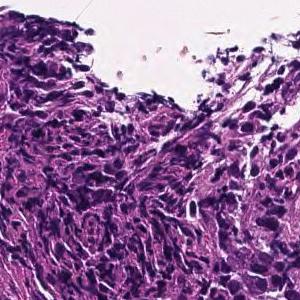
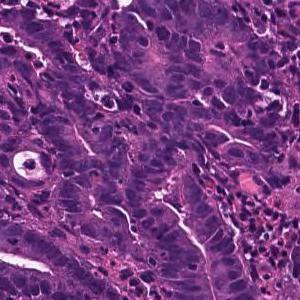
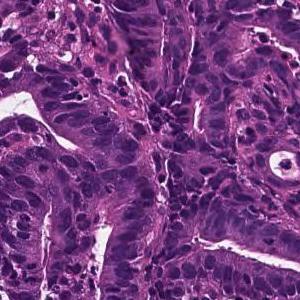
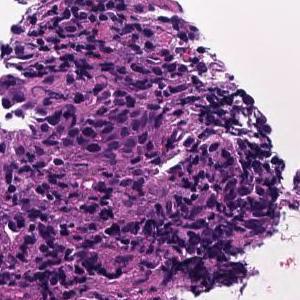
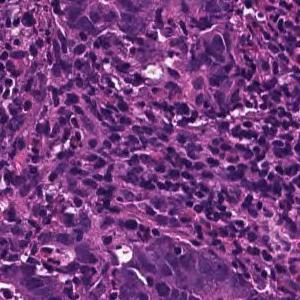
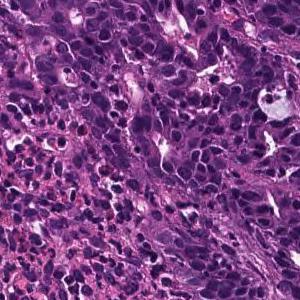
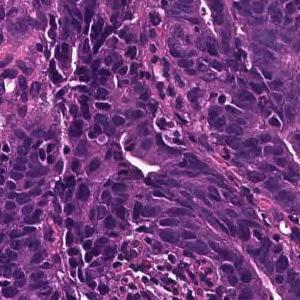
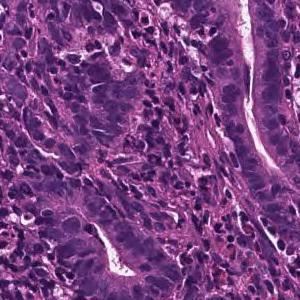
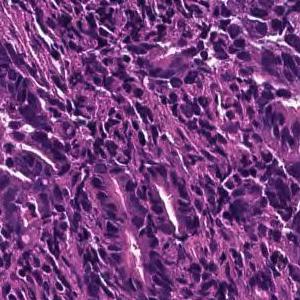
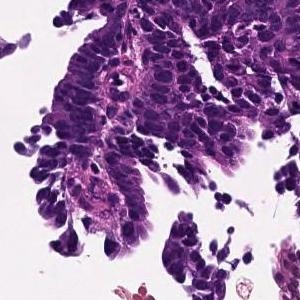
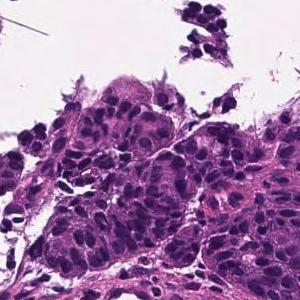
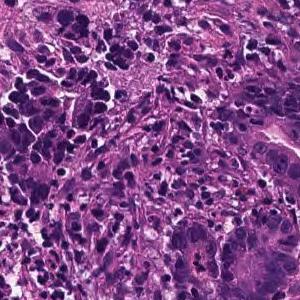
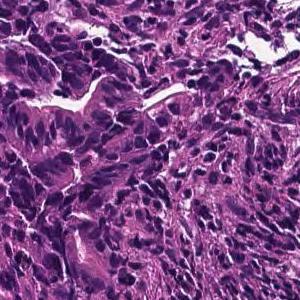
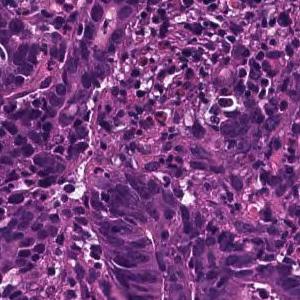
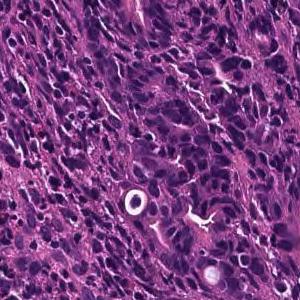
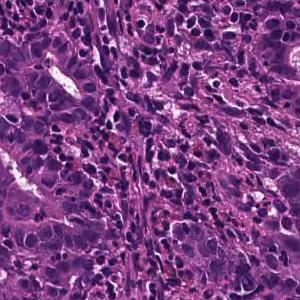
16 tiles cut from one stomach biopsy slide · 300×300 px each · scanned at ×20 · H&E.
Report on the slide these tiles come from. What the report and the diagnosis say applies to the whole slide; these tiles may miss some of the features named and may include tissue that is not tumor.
Well differentiated tubular adenocarcinoma in which small atypical ducts show invasive growth in the stroma
Subtype: Well differentiated tubular adenocarcinoma.
